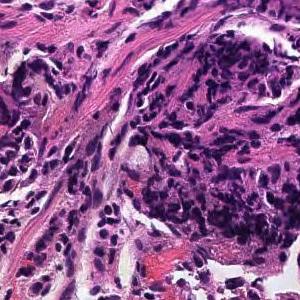
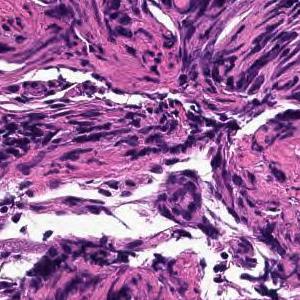
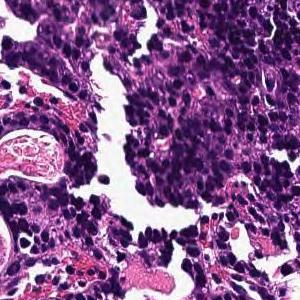
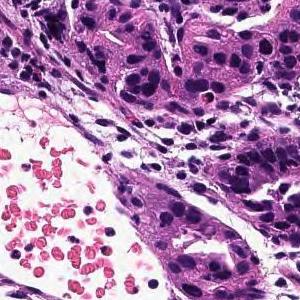
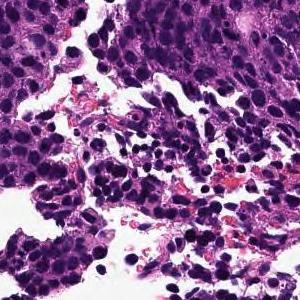
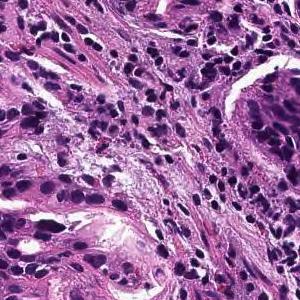
6 tiles from the same stomach biopsy slide · 300×300 px each · H&E.
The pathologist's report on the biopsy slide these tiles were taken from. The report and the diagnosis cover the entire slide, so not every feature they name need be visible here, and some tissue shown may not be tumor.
In the superficial epithelium, tumor tissue that invades by forming medium-sized to small, irregular ducts is observed. moderately differentiated tubular adenocarcinoma.
